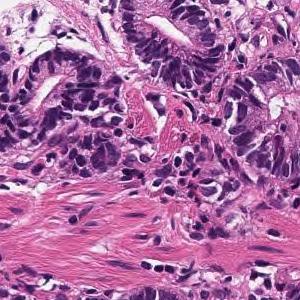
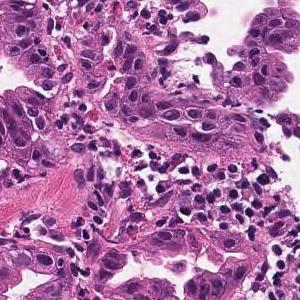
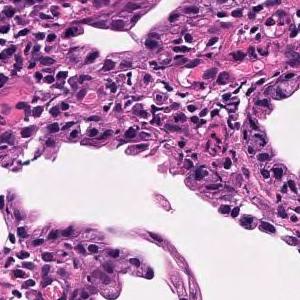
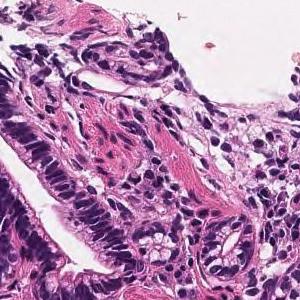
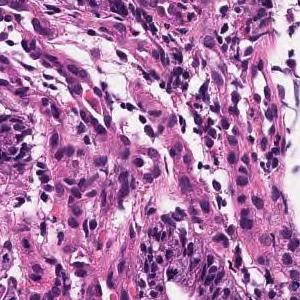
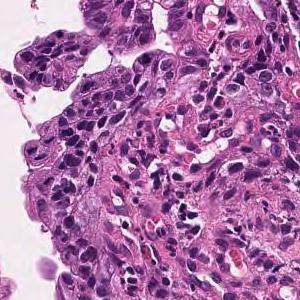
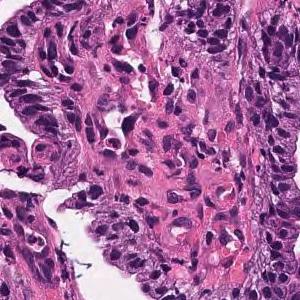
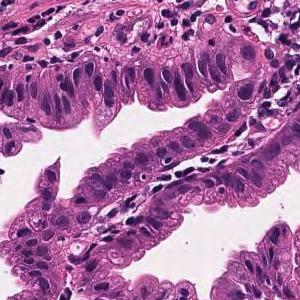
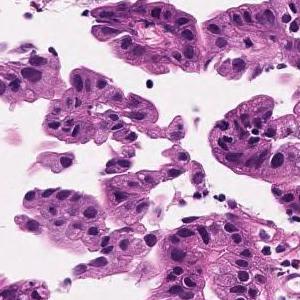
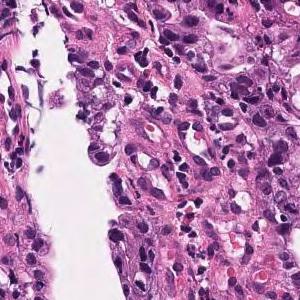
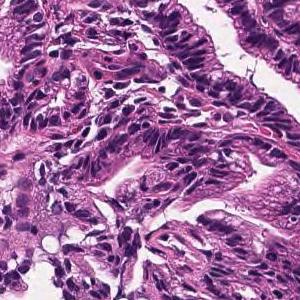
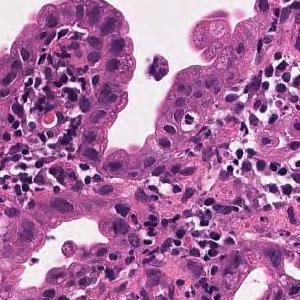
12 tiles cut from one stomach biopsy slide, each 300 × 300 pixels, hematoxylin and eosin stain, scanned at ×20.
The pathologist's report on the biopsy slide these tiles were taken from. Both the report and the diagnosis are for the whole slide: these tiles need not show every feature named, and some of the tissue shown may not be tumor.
Tumor tissue in which medium to small irregular ducts infiltrate and proliferate in the submucosa can be seen in the epithelium. Well differentiated tubular adenocarcinoma
